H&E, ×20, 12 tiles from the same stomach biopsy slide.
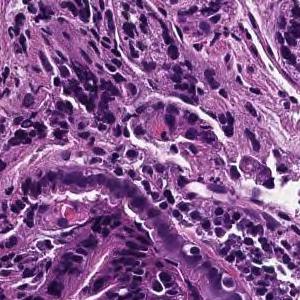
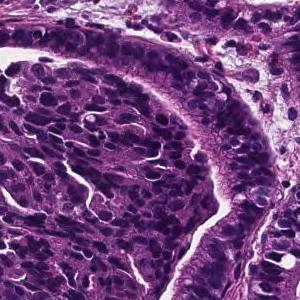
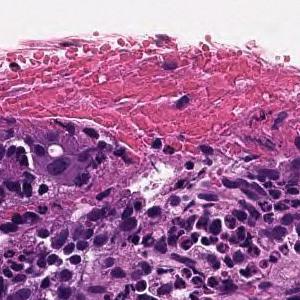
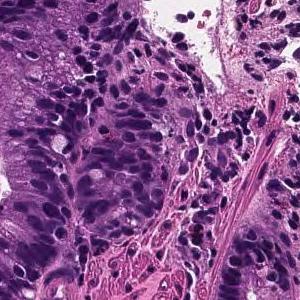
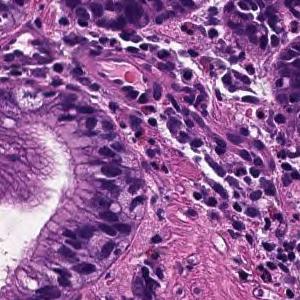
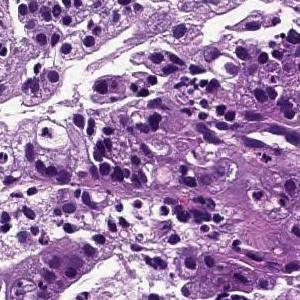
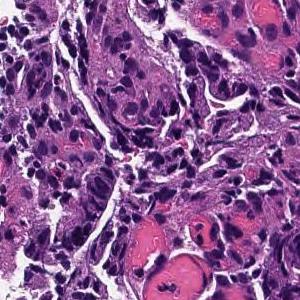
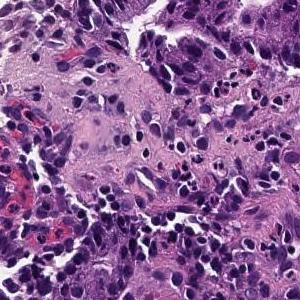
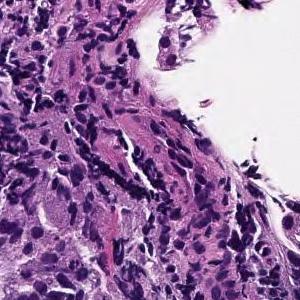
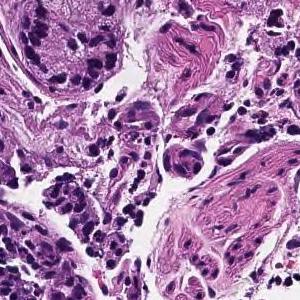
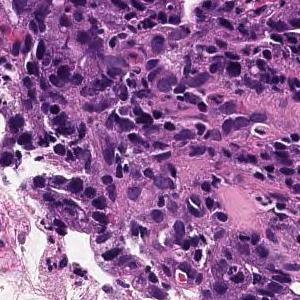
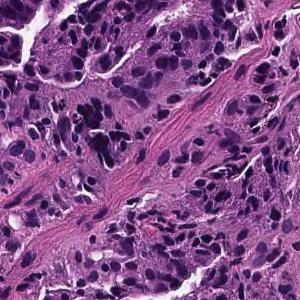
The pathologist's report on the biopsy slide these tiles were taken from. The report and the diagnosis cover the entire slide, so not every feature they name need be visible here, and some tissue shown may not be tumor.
From the superficial epithelium to the muscularis mucosae, tumor tissue consisting of medium-sized and irregular glandular ducts infiltrating is observed. Well differentiated tubular adenocarcinoma
